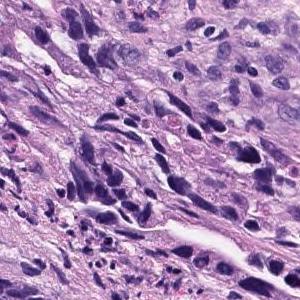
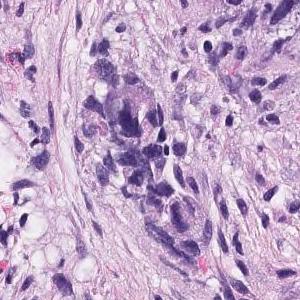
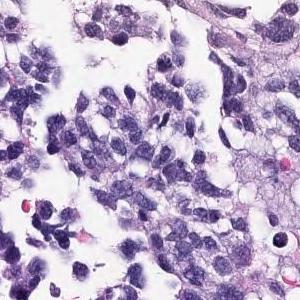
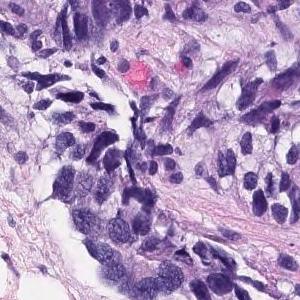
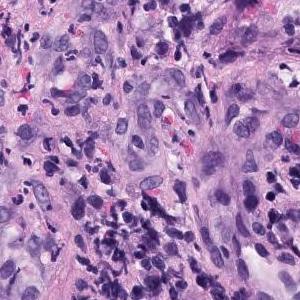
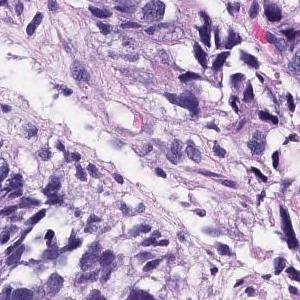
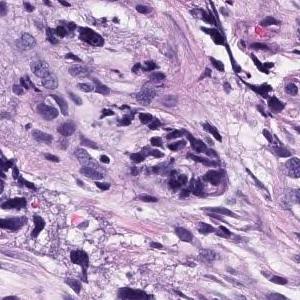
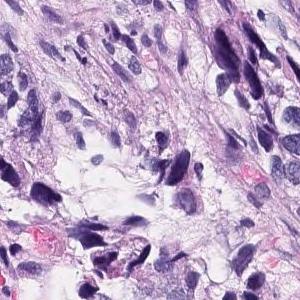
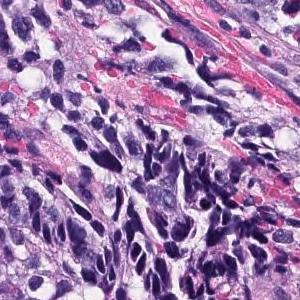
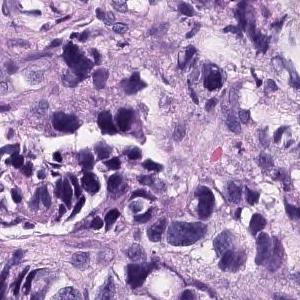
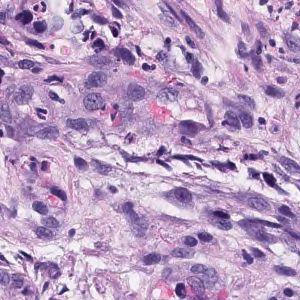
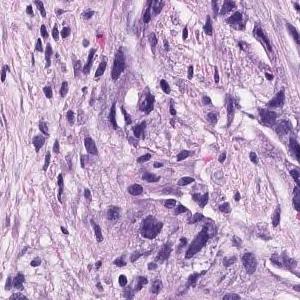
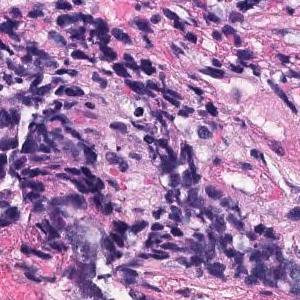
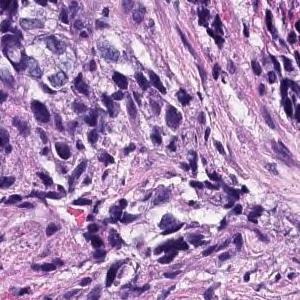
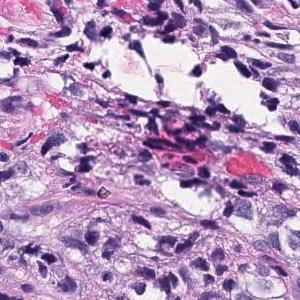
15 patches cut from one gastric biopsy slide, 20× magnification, hematoxylin and eosin stain.
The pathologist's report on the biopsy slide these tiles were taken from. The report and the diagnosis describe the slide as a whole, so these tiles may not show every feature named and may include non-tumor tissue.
The superficial epithelium shows small cord-like infiltrating tumor tissue. Some part of neoplastic cells are signet ring cell type which show single invasion manner. Poorly differentiated adenocarcinoma, non-solid type.
"Non-solid type" is a category of the Japanese Classification of Gastric Carcinoma.
